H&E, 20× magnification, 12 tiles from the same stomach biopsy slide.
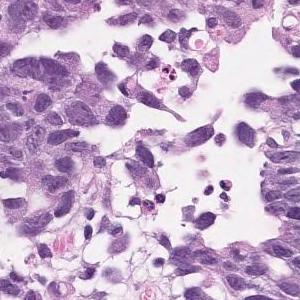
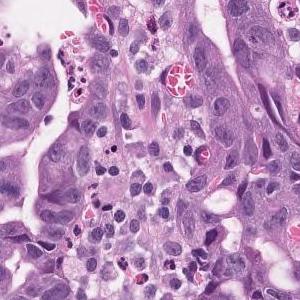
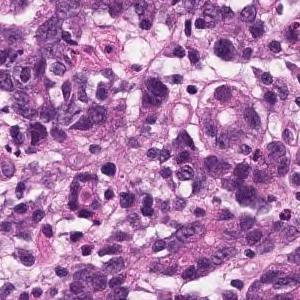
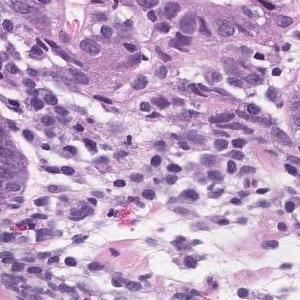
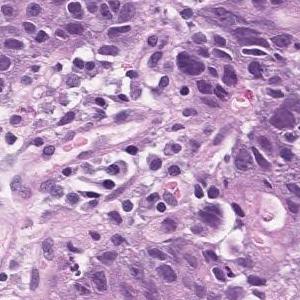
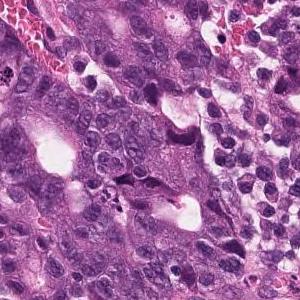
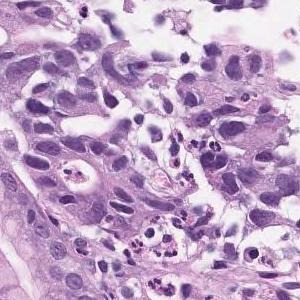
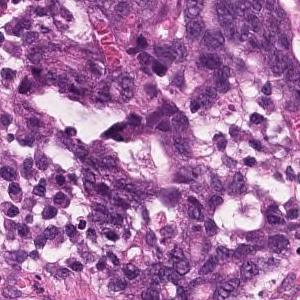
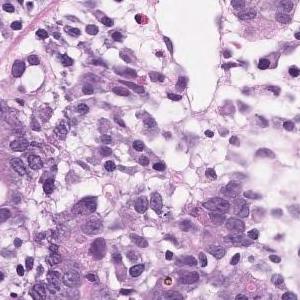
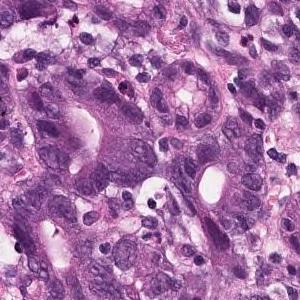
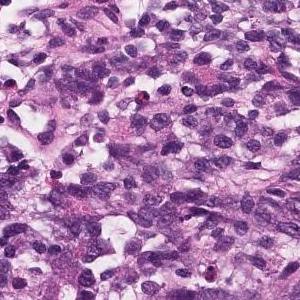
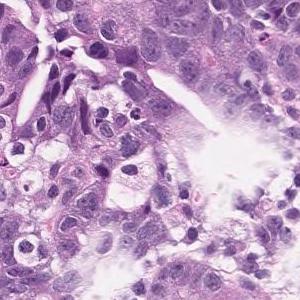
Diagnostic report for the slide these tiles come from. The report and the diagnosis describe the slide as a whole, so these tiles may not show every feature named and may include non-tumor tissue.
It is mixed with the existing pit epithelium and pyloric gland epithelium, and irregularly fused and branched atypical ducts are observed. Moderately differentiated tubular adenocarcinoma (well differentiated tubular adenocarcinoma)
The dataset labels this slide moderately differentiated tubular adenocarcinoma.
